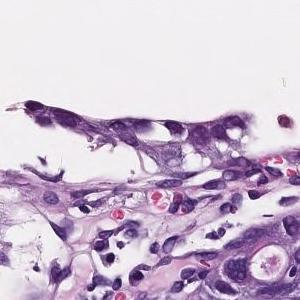
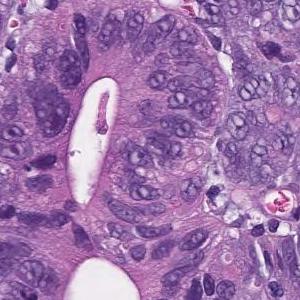
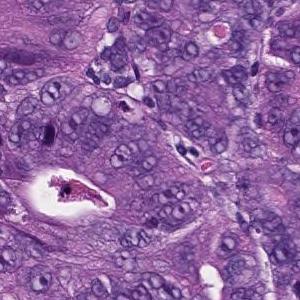
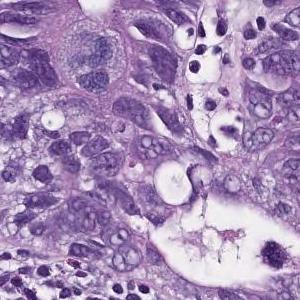
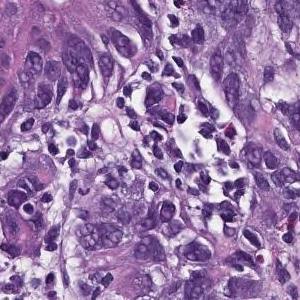
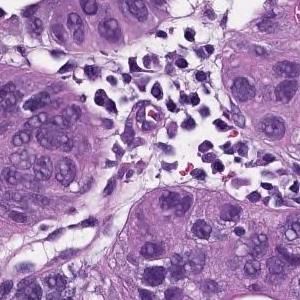
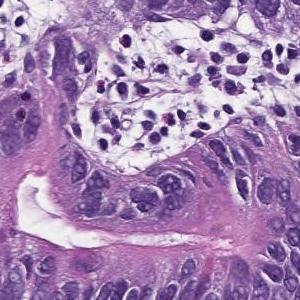
7 image tiles from a single gastric biopsy slide, 300×300 px each, 20× magnification.
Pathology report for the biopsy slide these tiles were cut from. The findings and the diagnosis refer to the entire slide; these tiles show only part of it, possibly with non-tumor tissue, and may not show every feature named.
In the superficial epithelium, tumor tissue that invades by forming medium-sized to small, irregular ducts is observed. moderately differentiated tubular adenocarcinoma.
